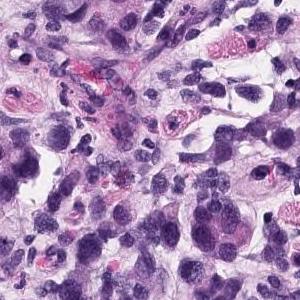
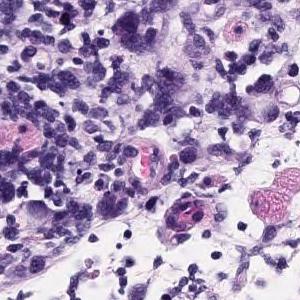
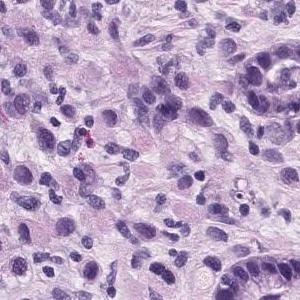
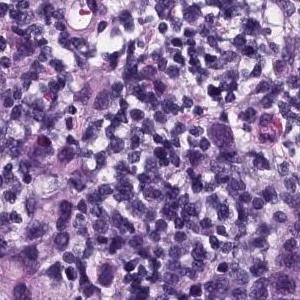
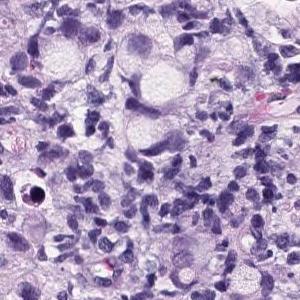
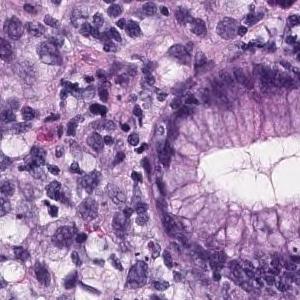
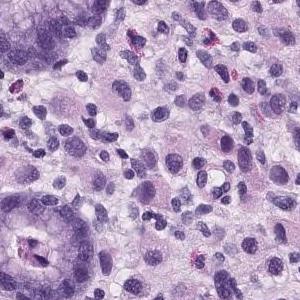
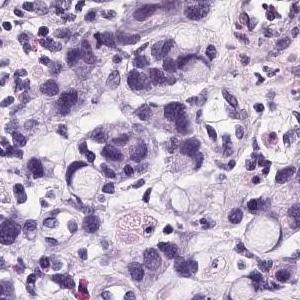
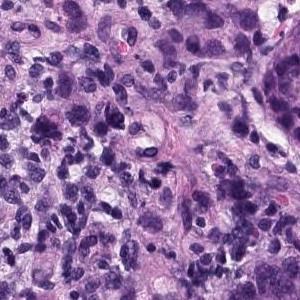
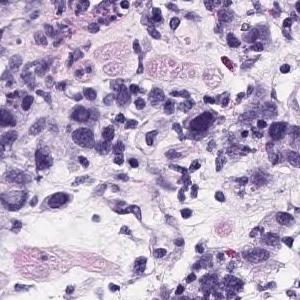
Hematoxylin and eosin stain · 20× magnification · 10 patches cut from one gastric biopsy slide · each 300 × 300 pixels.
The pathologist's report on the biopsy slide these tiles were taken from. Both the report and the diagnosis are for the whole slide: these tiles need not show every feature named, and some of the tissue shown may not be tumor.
Group 5, Adenocarcinoma. Poorly differentiated adenocarcinoma, non-solid type
The non-solid type named here is a Japanese Classification of Gastric Carcinoma category.
